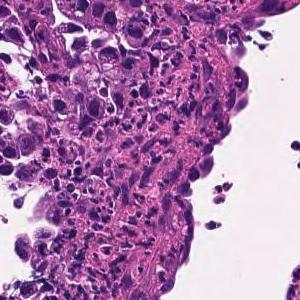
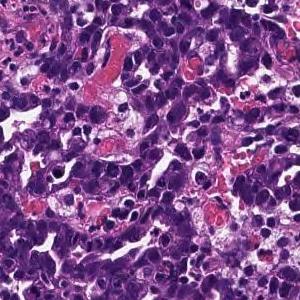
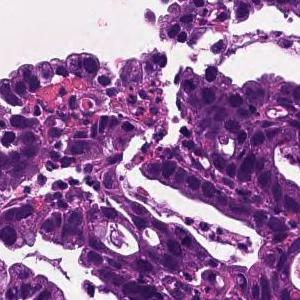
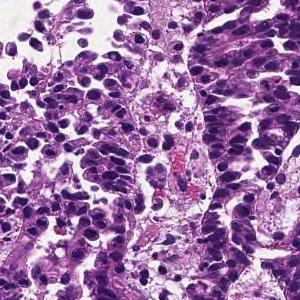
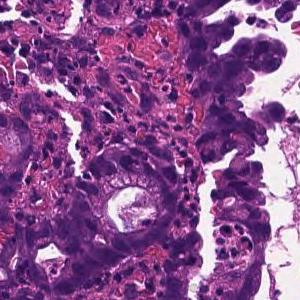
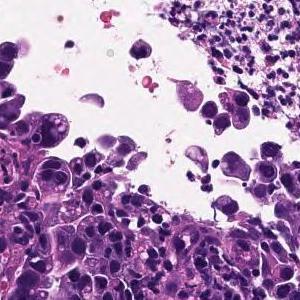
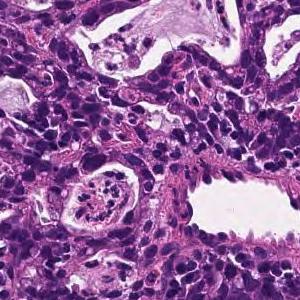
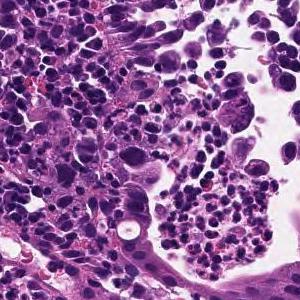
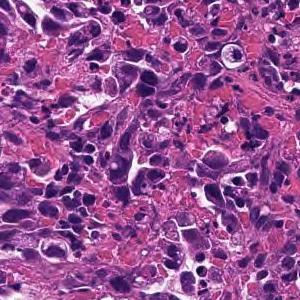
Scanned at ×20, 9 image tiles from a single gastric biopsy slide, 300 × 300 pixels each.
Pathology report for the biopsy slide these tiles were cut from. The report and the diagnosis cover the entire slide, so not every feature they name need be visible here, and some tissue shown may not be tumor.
In the superficial epithelium, tumor tissue that invades by forming medium-sized to small, irregular ducts is observed. moderately differentiated tubular adenocarcinoma.
